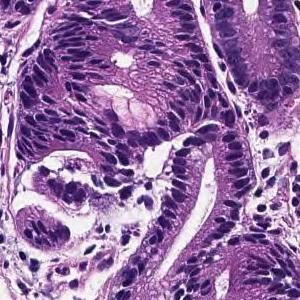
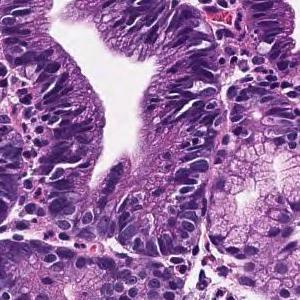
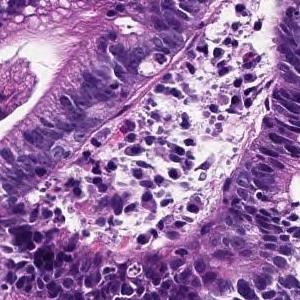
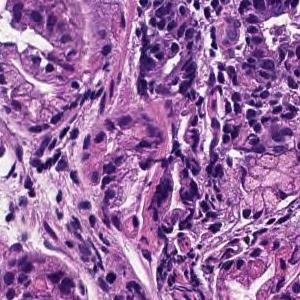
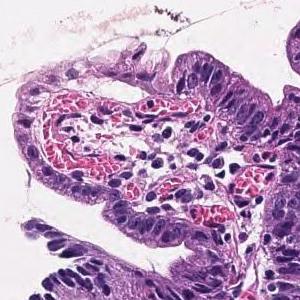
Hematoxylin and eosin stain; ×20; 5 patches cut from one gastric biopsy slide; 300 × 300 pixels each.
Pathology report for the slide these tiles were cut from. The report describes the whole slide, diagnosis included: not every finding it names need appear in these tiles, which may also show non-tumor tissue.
From the superficial epithelium to the muscularis mucosae, tumor tissue consisting of medium-sized and irregular glandular ducts infiltrating is observed. Well differentiated tubular adenocarcinoma
